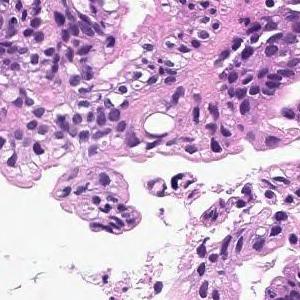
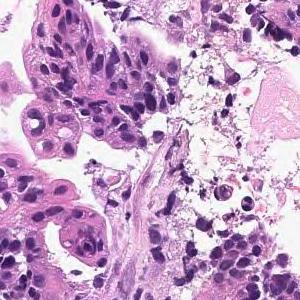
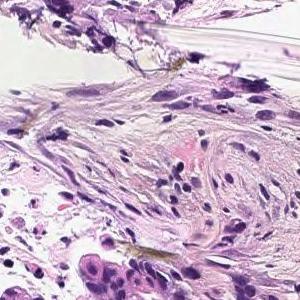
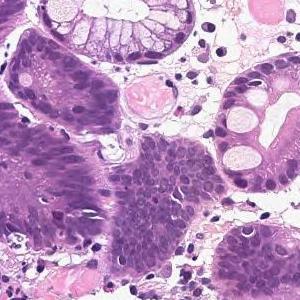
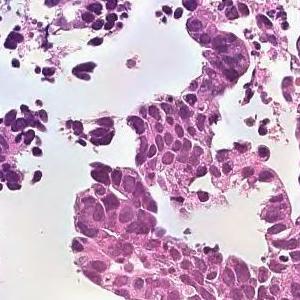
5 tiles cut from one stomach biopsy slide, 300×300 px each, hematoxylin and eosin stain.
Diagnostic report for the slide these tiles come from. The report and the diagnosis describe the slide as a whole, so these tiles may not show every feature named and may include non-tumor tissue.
In the superficial epithelium, tumor tissue that invades by forming medium-sized to small, irregular ducts is observed. moderately differentiated tubular adenocarcinoma.
